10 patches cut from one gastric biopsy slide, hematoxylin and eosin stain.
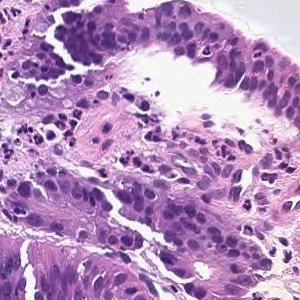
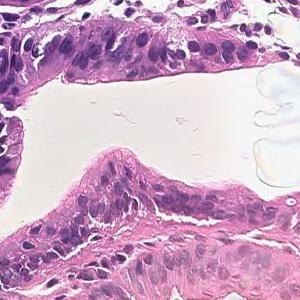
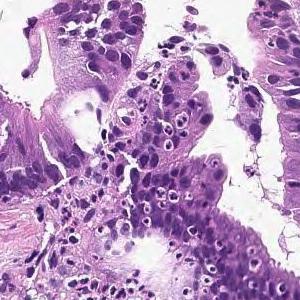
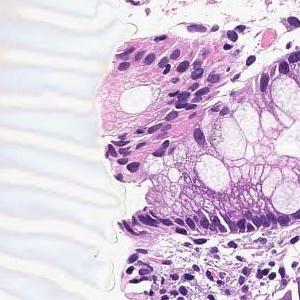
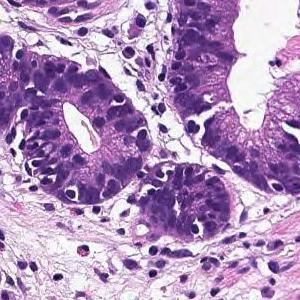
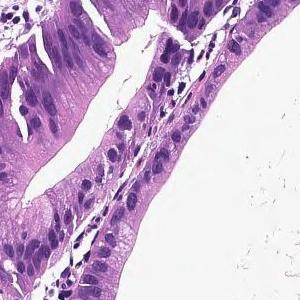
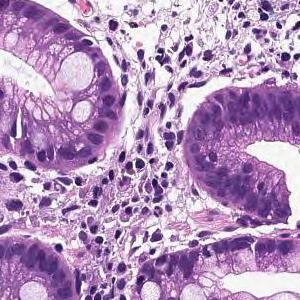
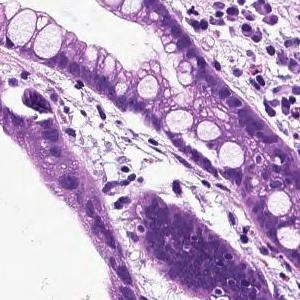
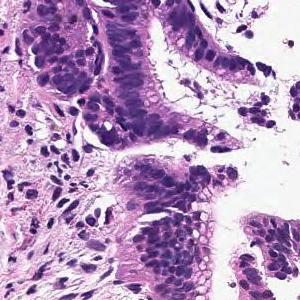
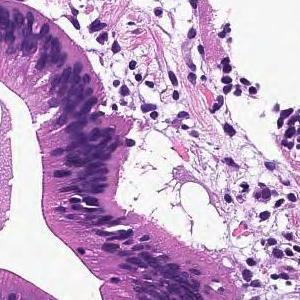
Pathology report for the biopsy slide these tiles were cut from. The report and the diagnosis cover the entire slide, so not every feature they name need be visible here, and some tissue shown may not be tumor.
Infiltrating tumor tissue is observed in the superficial epithelium, showing large papillary structures or large and small ducts. Papillary adenocarcinoma
